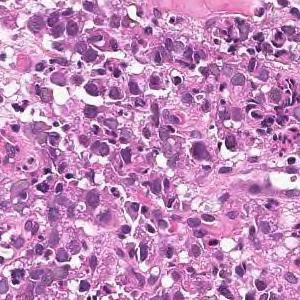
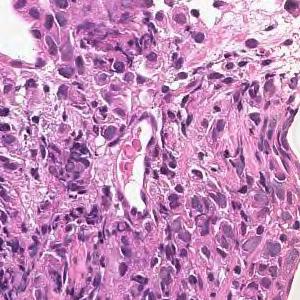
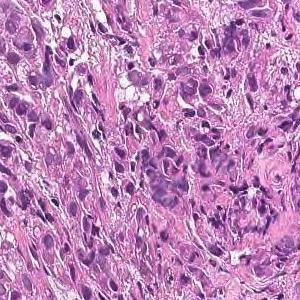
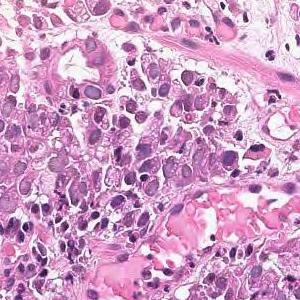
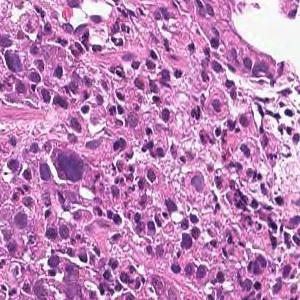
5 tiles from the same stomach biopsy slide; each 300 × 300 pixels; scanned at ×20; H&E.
Report on the slide these tiles come from. What the report and the diagnosis say applies to the whole slide; these tiles may miss some of the features named and may include tissue that is not tumor.
The superficial epithelium shows a large sheet-like shape, and some tumor tissue infiltrates with small irregular ducts. Poorly differentiated adenocarcinoma, solid-type
Tumor subtype: poorly differentiated adenocarcinoma, solid type, a category of the Japanese Classification of Gastric Carcinoma; in the WHO 2019 classification it is tubular adenocarcinoma, poorly differentiated.
